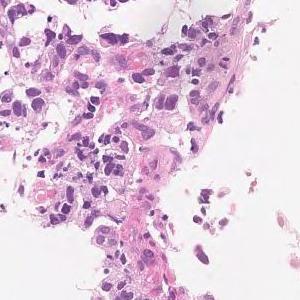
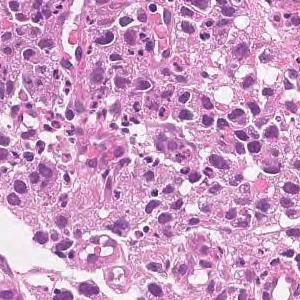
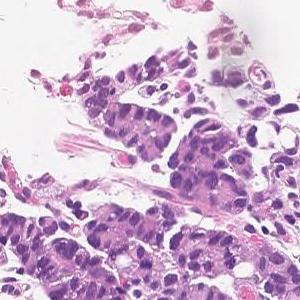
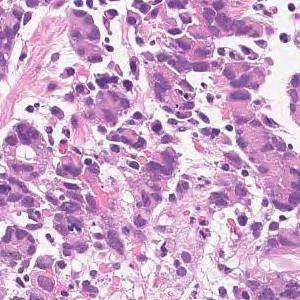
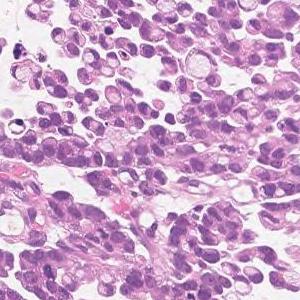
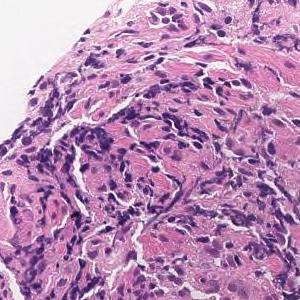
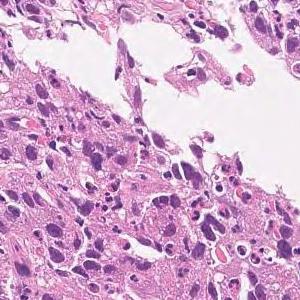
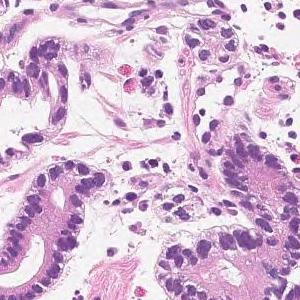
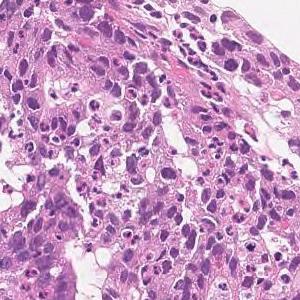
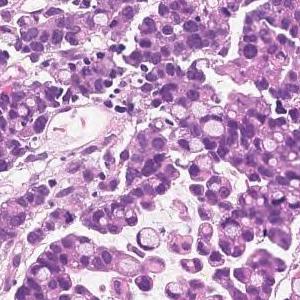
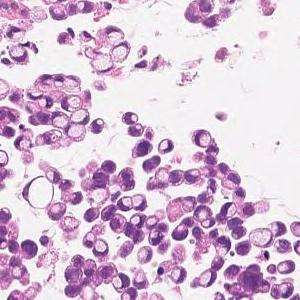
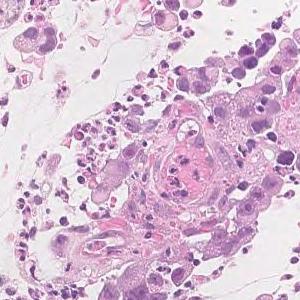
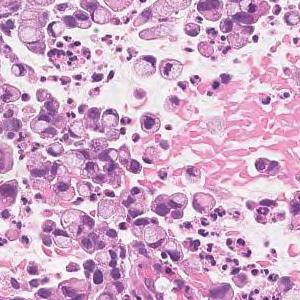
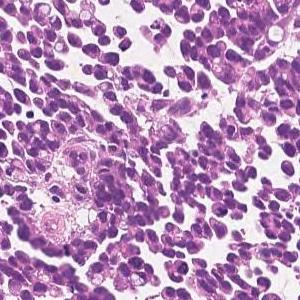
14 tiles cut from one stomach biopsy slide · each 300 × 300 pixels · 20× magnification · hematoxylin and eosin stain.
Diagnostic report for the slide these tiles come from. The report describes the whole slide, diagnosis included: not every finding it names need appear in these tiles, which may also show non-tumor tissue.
Medium to small, irregular glandular ducts are formed in the superficial epithelium, and in some cases, the glandular ducts are fused to show solid alveolar lesions and infiltrating tumor tissue is observed. Moderately to poorly differentiated adenocarcinoma.
